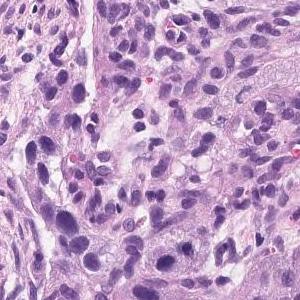
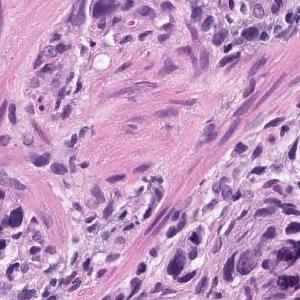
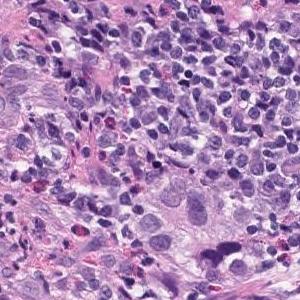
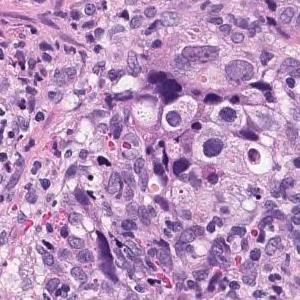
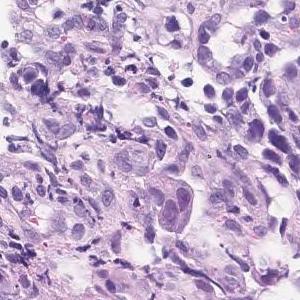
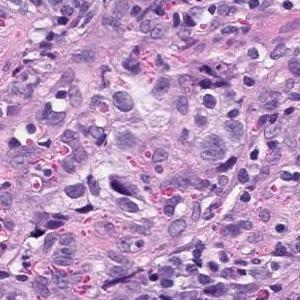
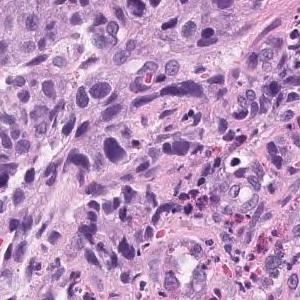
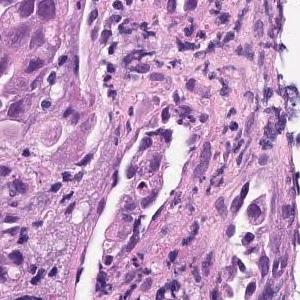
8 image tiles from a single gastric biopsy slide · each 300 × 300 pixels · H&E · scanned at ×20.
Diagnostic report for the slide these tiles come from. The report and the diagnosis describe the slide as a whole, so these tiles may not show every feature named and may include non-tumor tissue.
Group 5, Moderately differentiated adenocarcinoma
Tumor subtype: moderately differentiated tubular adenocarcinoma.
